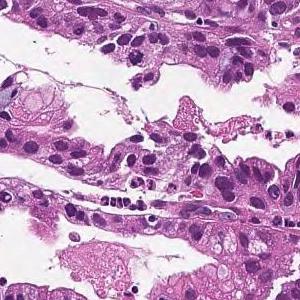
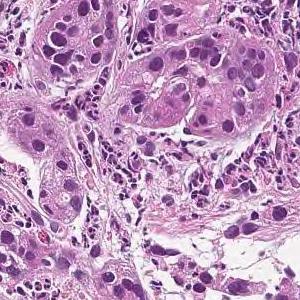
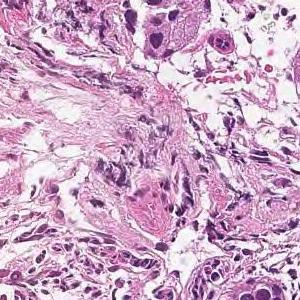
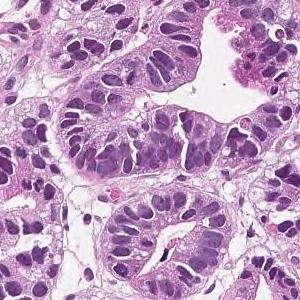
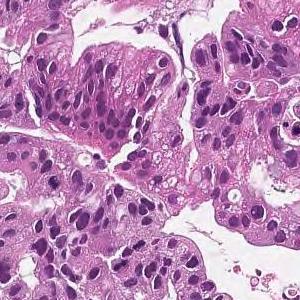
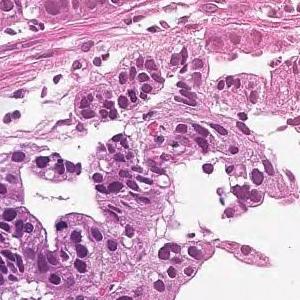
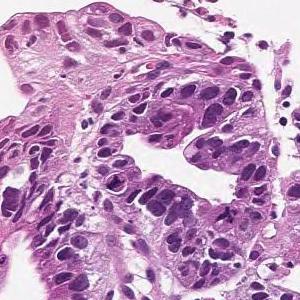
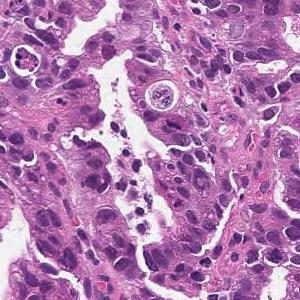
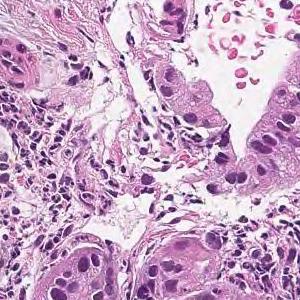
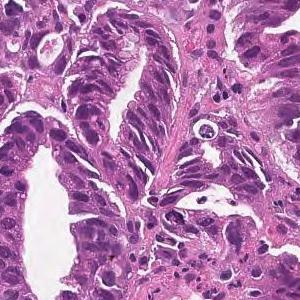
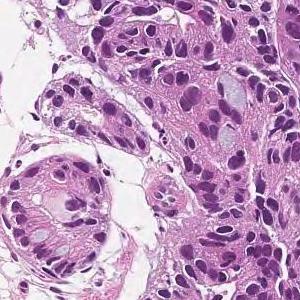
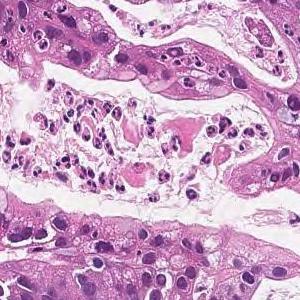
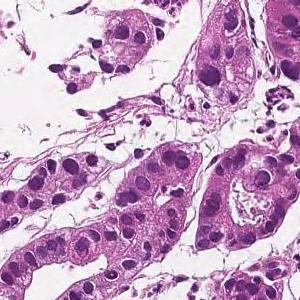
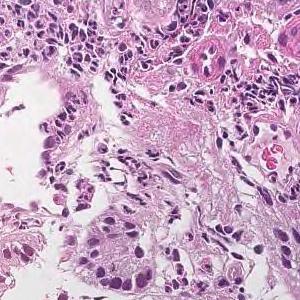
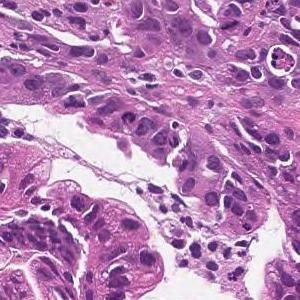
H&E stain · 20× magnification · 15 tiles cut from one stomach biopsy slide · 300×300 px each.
Report on the slide these tiles come from. The report and the diagnosis describe the slide as a whole, so these tiles may not show every feature named and may include non-tumor tissue.
On the superficial epithelium, tumor tissue that infiltrates by forming medium-sized papillary or small irregular ducts is observed. Papillary adenocarcinoma
